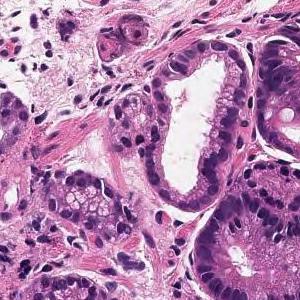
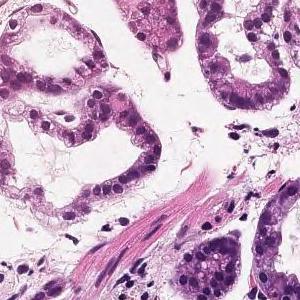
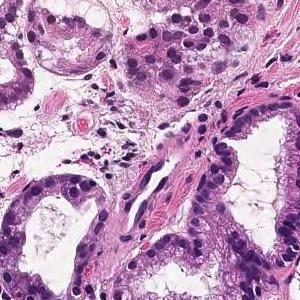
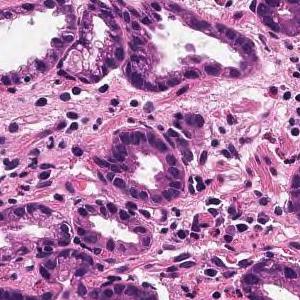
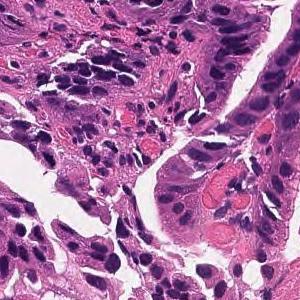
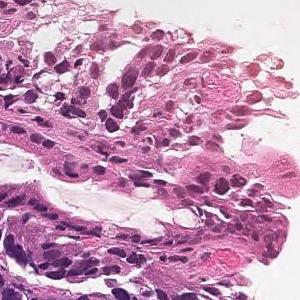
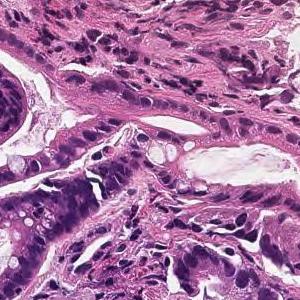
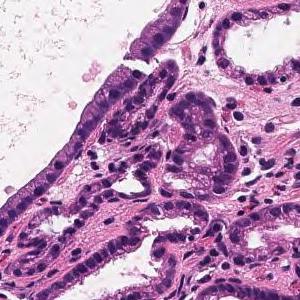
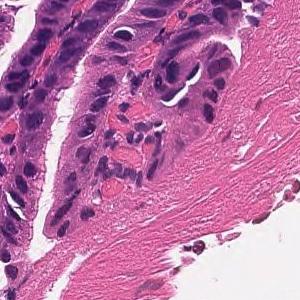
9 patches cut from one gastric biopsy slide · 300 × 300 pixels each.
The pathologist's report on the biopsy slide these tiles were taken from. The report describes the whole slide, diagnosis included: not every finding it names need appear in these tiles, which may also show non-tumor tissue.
On the superficial epithelium, tumor tissue consisting of large, irregular glandular ducts partially fused and infiltrated is observed. Well to moderately differentiated tubular adenocarcinoma (well differentiated tubular adenocarcinoma, moderately differentiated tubular adenocarcinoma)
Classified as well to moderately differentiated tubular adenocarcinoma.
